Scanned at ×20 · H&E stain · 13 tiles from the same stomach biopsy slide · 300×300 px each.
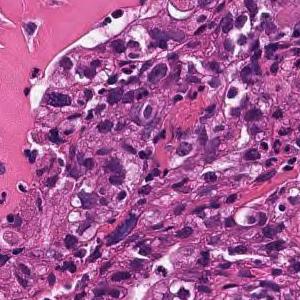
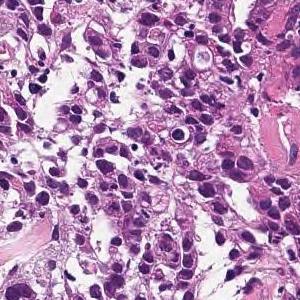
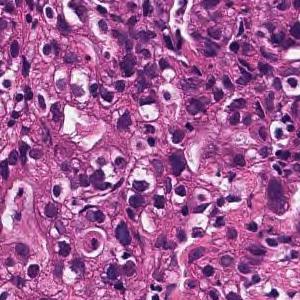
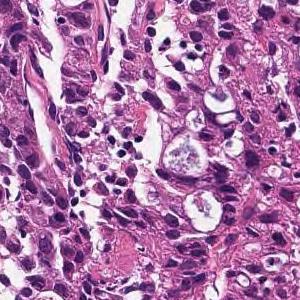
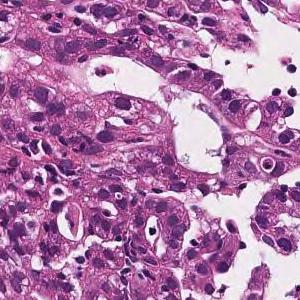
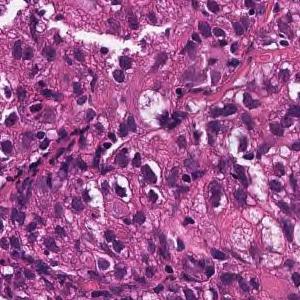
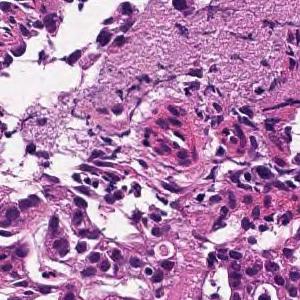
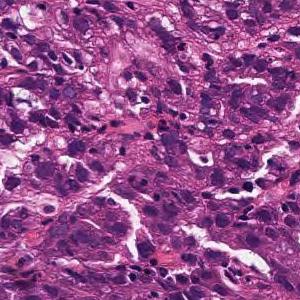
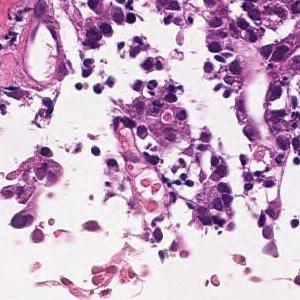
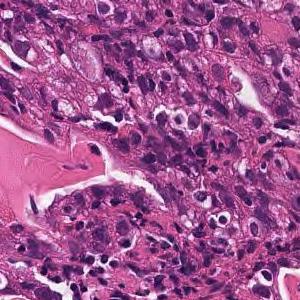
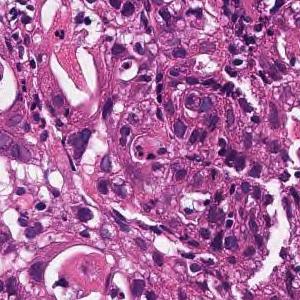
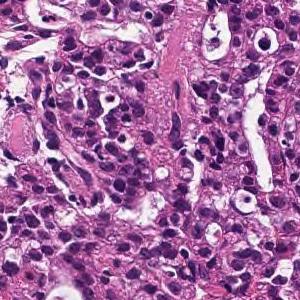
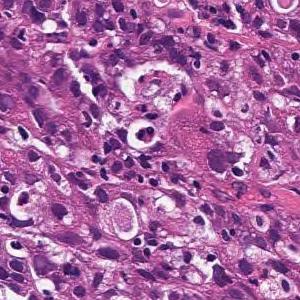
The pathologist's report on the biopsy slide these tiles were taken from. The report and the diagnosis cover the entire slide, so not every feature they name need be visible here, and some tissue shown may not be tumor.
Tumor tissue consisting of cord-like or small, irregular glandular ducts fused and infiltrated is observed in the superficial epithelium. Poorly differentiated adenocarcinoma, non-solid type
The non-solid type named here is a Japanese Classification of Gastric Carcinoma category.
